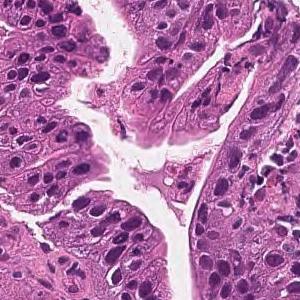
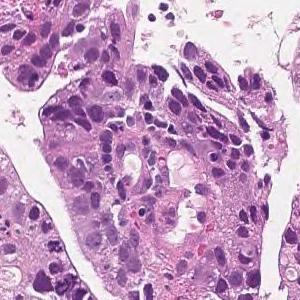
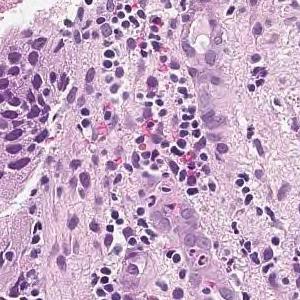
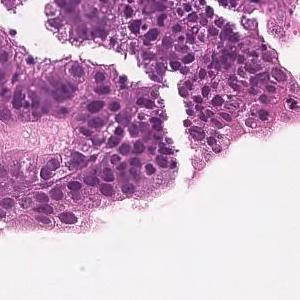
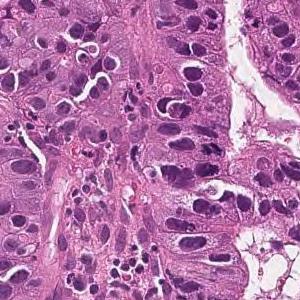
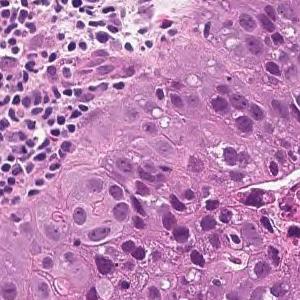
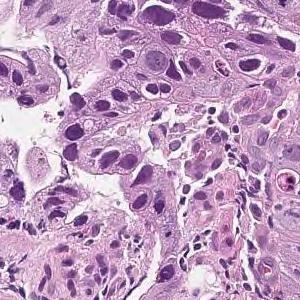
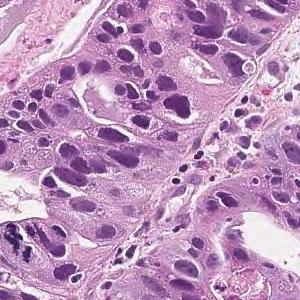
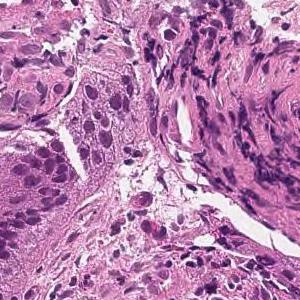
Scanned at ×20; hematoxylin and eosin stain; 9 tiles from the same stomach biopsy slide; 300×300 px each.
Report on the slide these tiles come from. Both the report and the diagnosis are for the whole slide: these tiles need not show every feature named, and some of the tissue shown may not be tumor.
In the superficial epithelium, tumor tissue that invades by forming medium-sized to small, irregular ducts is observed. moderately differentiated tubular adenocarcinoma.
